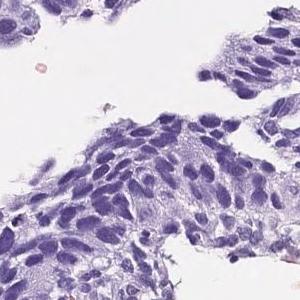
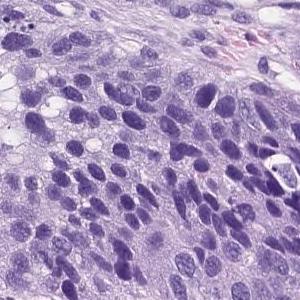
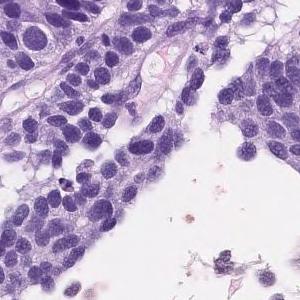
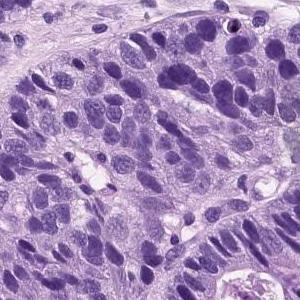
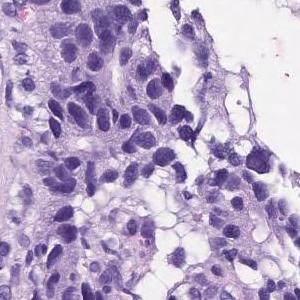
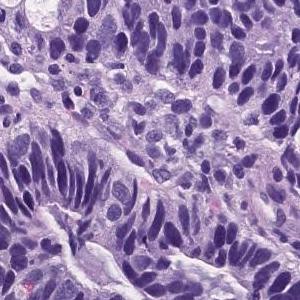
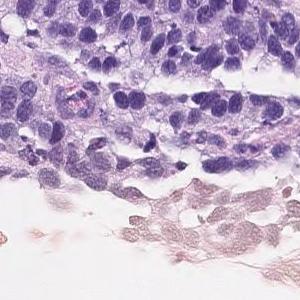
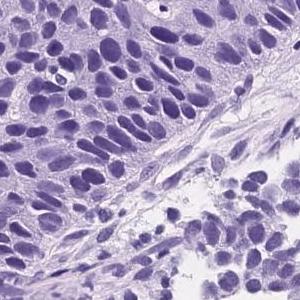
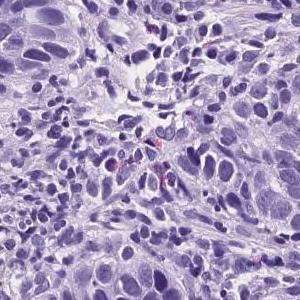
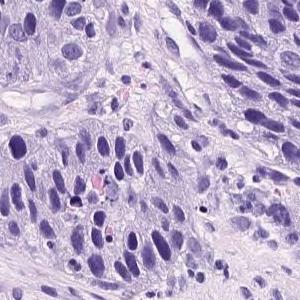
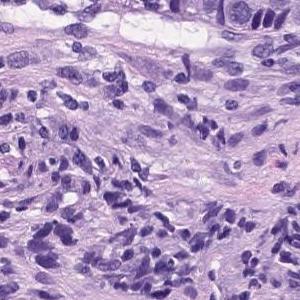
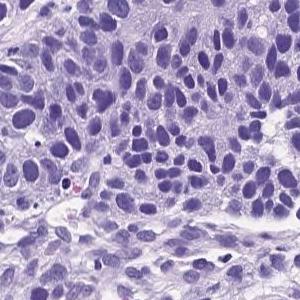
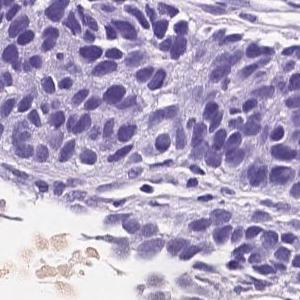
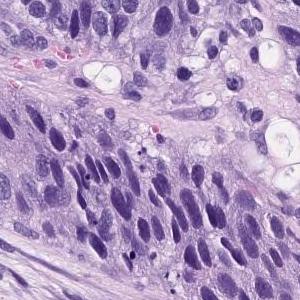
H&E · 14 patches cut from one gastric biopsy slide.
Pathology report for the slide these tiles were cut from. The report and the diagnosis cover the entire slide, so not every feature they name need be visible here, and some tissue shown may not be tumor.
Atypical cells with atypical nuclei forming small irregular atypical ducts and growing in a conformative manner. moderately differentiated tubular adenocarcinoma
Labeled in the dataset as moderately to poorly differentiated adenocarcinoma.
